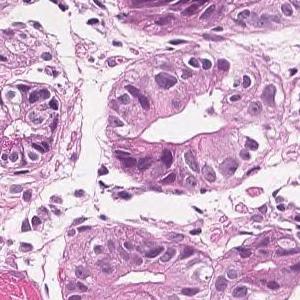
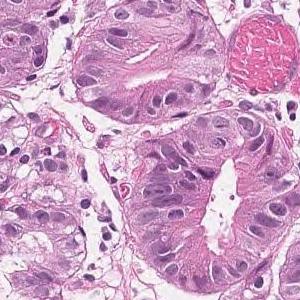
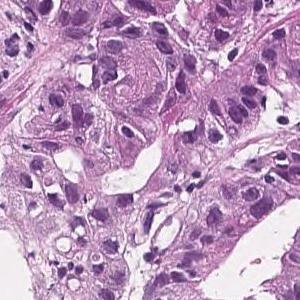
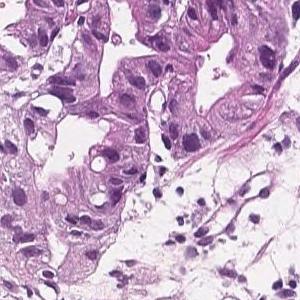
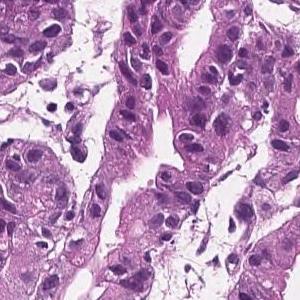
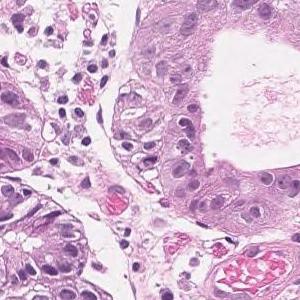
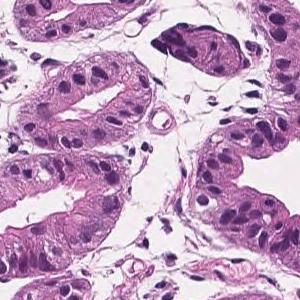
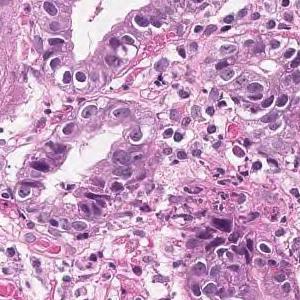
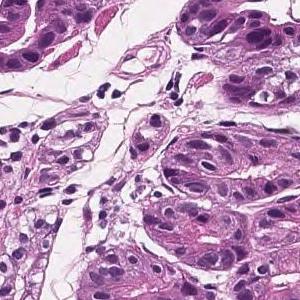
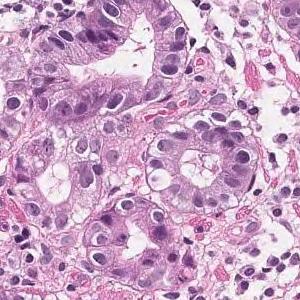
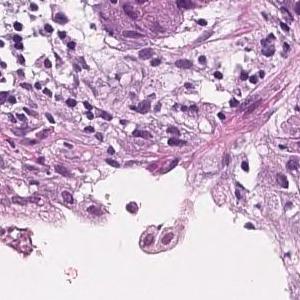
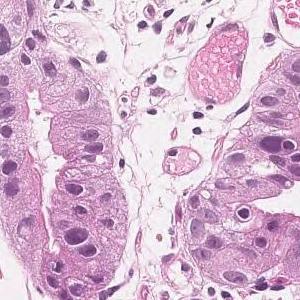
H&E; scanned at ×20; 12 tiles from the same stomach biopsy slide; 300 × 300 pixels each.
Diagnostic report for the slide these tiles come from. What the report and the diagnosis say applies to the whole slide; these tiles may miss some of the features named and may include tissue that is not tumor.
On the superficial epithelium, tumor tissue consisting of medium-sized and irregular gland ducts infiltrated is observed. Well differentiated tubular adenocarcinoma
